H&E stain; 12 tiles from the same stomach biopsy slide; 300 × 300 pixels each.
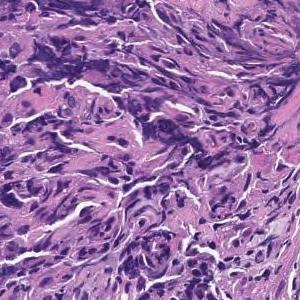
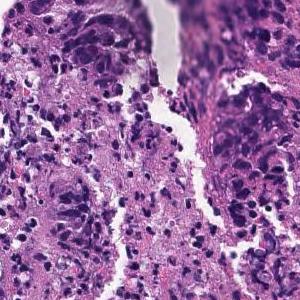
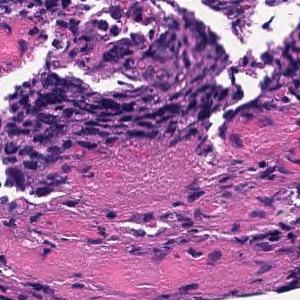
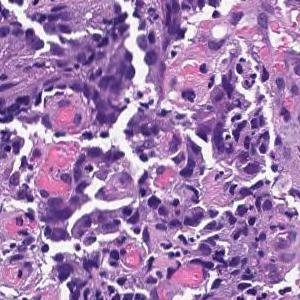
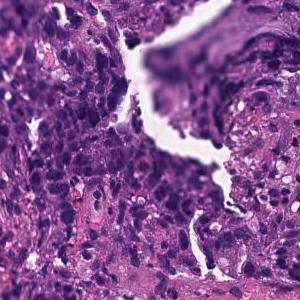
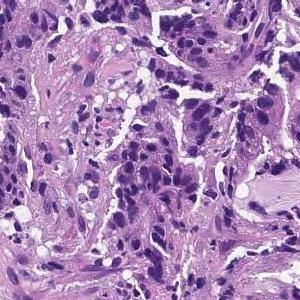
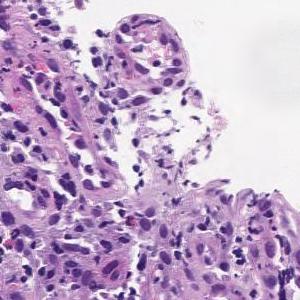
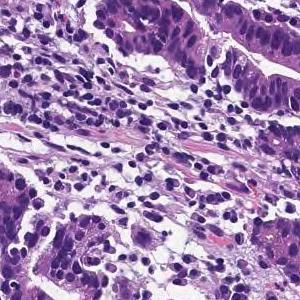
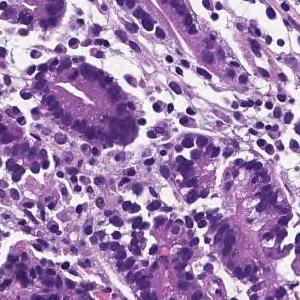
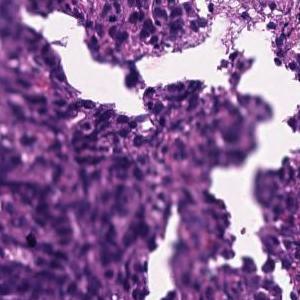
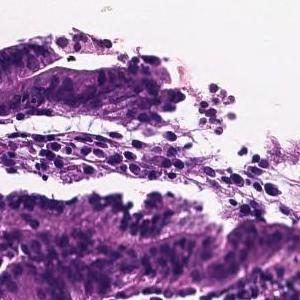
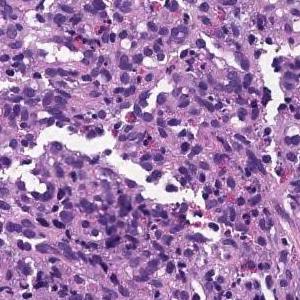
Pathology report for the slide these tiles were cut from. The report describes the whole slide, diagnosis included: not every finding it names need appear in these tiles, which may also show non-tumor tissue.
On the superficial epithelium, tumor tissue consisting of large irregular glandular ducts partially fused and infiltrated is observed. Well to moderately differentiated tubular adenocarcinoma (well differentiated tubular adenocarcinoma, moderately differentiated tubular adenocarcinoma)
Histologic type: Well to moderately differentiated tubular adenocarcinoma.
